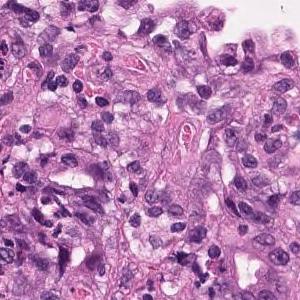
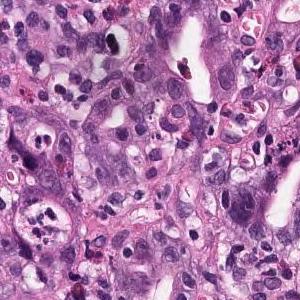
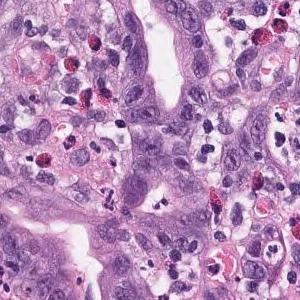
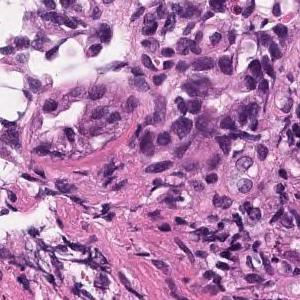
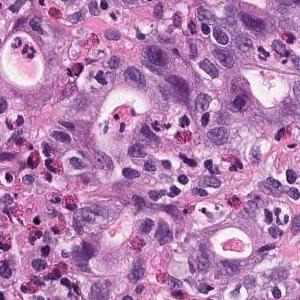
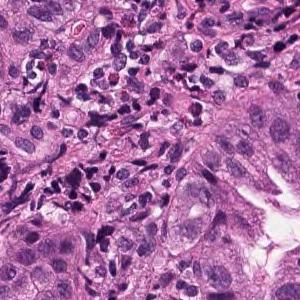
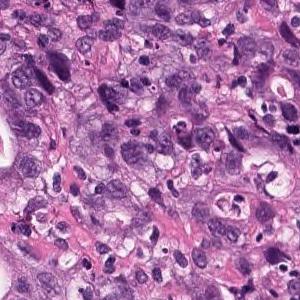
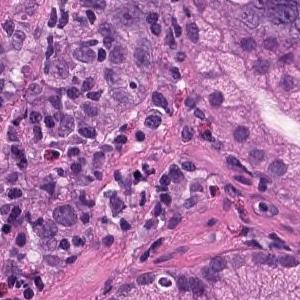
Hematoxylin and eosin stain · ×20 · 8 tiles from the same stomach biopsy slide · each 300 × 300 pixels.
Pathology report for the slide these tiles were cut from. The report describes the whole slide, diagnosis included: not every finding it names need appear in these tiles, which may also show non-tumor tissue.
Atypical ducts proliferating with obscure duct construction and solid sequences is observed. Moderately to poorly differentiated adenocarcinoma.
